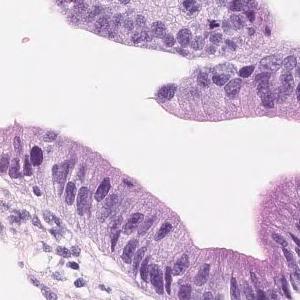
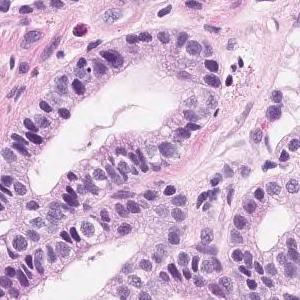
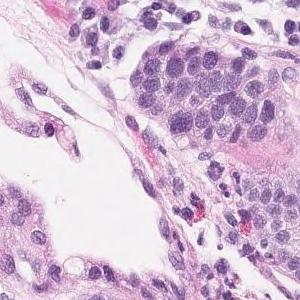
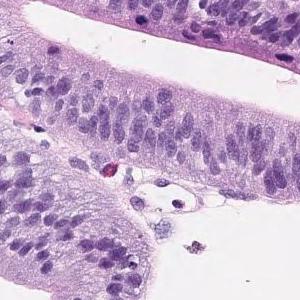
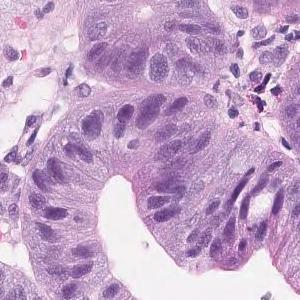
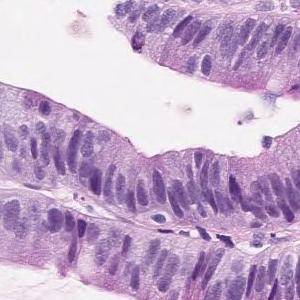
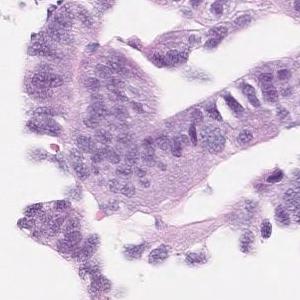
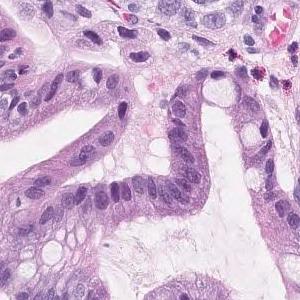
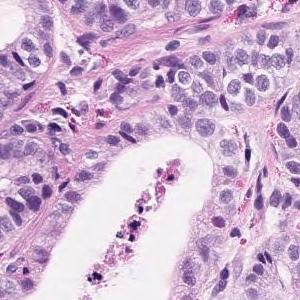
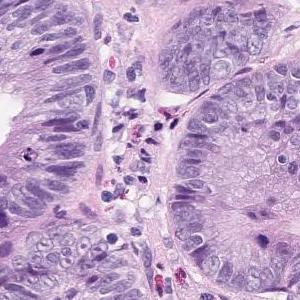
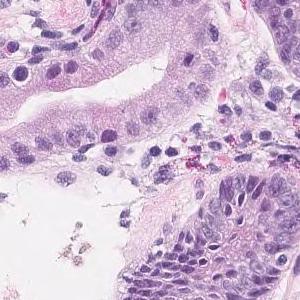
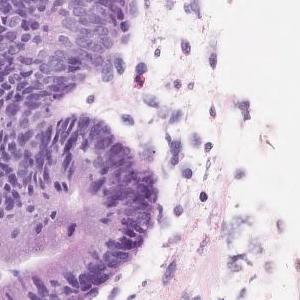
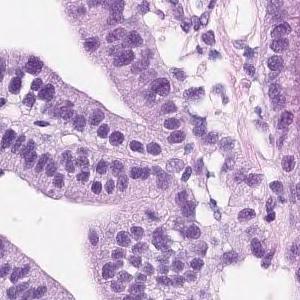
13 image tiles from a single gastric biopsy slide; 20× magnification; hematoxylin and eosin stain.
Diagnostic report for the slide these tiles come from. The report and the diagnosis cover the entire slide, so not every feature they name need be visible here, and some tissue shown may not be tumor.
Short atypical epithelium with swelling of the nucleus shows proliferating, large and small irregular ductal structures. Well to moderately differentiated tubular adenocarcinoma (well differentiated tubular adenocarcinoma-moderately differentiated tubular adenocarcinoma)
Histological subtype: Well to moderately differentiated tubular adenocarcinoma.
